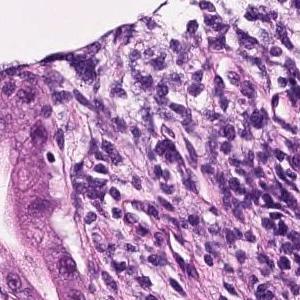
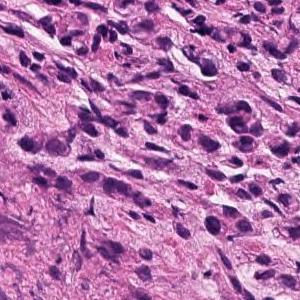
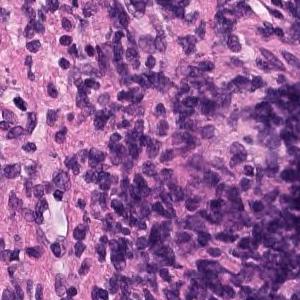
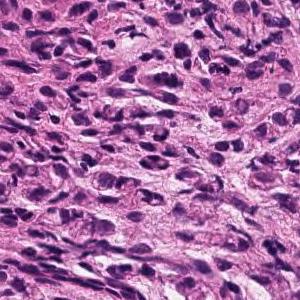
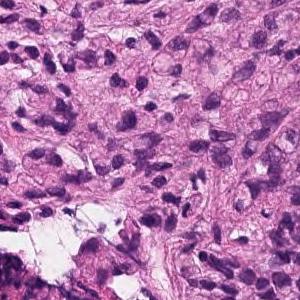
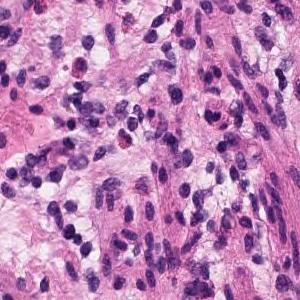
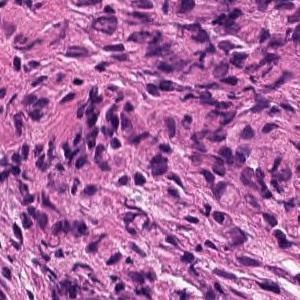
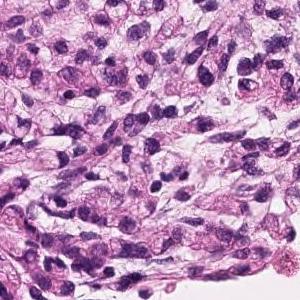
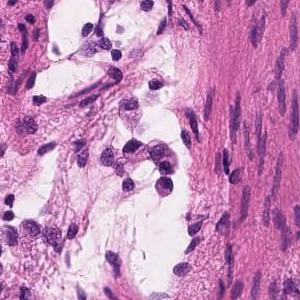
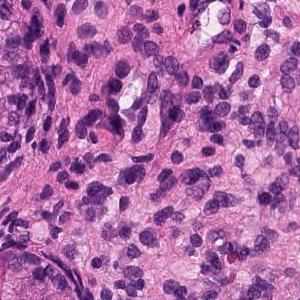
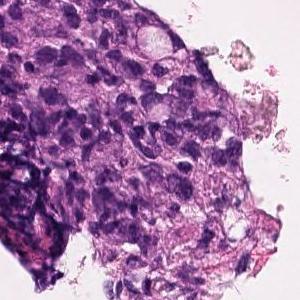
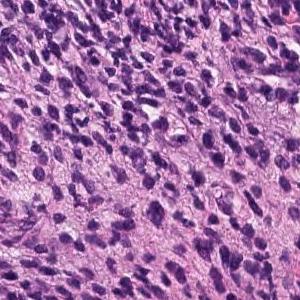
H&E stain; scanned at ×20; 12 tiles cut from one stomach biopsy slide.
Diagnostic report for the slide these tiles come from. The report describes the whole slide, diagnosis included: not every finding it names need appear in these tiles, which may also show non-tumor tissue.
Atypical l cells with atypical nuclei under the mucosa growing in isolation and scattered. Poorly differentiated adenocarcinoma (poorly differentiated adenocarcinoma, non-solid type)
Classified as poorly differentiated adenocarcinoma, non-solid type.
The non-solid type named here is a Japanese Classification of Gastric Carcinoma category.
